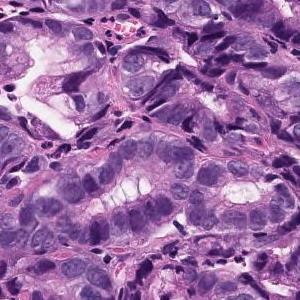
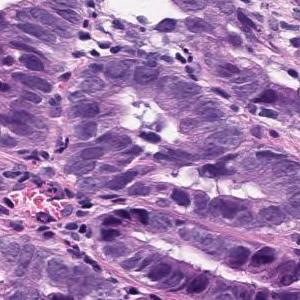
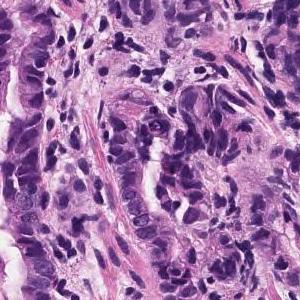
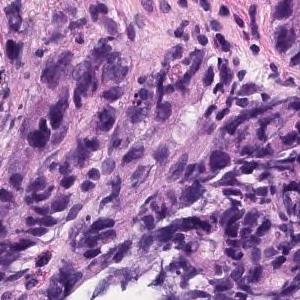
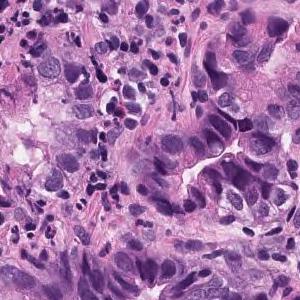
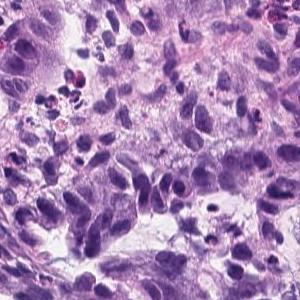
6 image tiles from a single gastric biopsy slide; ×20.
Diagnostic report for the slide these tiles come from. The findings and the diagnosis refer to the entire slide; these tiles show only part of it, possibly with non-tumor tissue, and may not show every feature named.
The swollen atypical epithelium of the nucleus forms an irregular ductal structure and proliferates. moderately differentiated tubular adenocarcinoma
